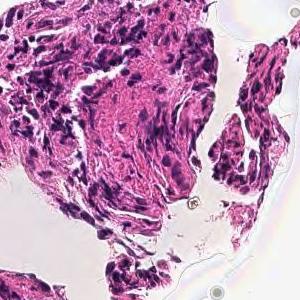
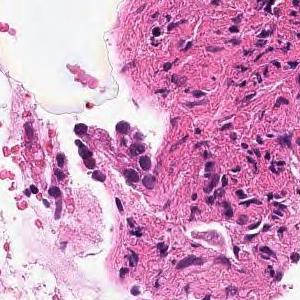
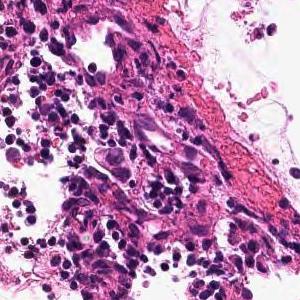
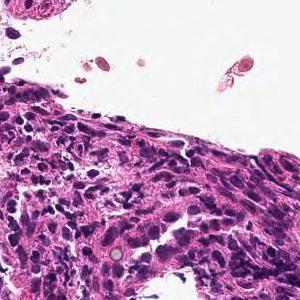
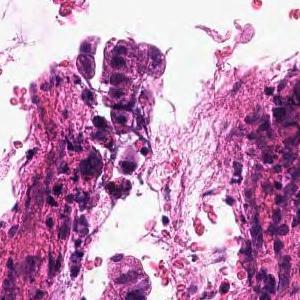
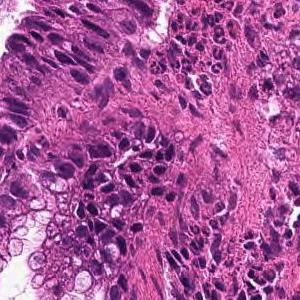
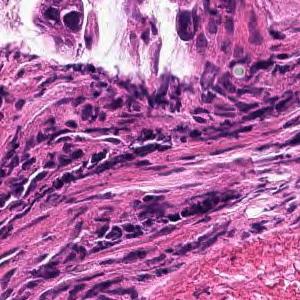
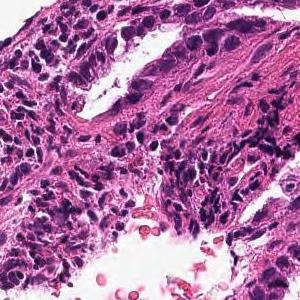
H&E stain; ×20; 8 patches cut from one gastric biopsy slide.
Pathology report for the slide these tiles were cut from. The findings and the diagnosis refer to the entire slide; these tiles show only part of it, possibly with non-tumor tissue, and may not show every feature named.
From the superficial epithelium to the muscularis mucosae, tumor tissue infiltrating by forming medium-sized irregular gland ducts is observed. Well differentiated tubular adenocarcinoma
